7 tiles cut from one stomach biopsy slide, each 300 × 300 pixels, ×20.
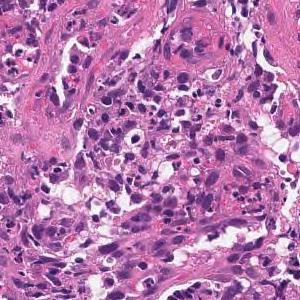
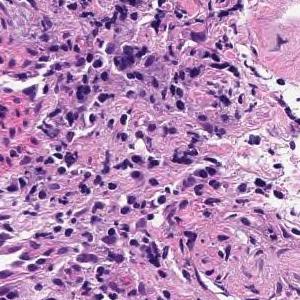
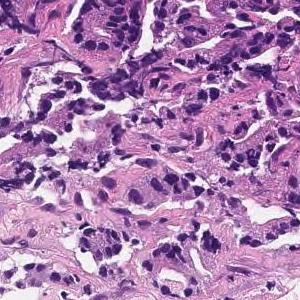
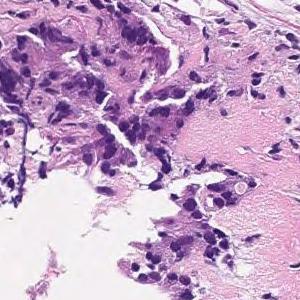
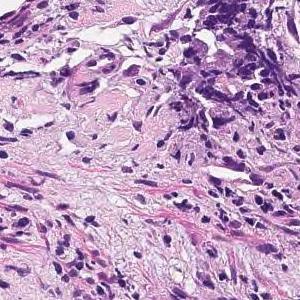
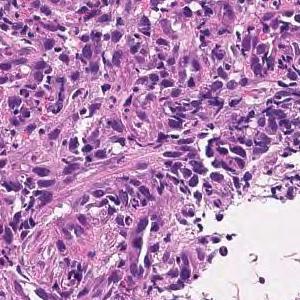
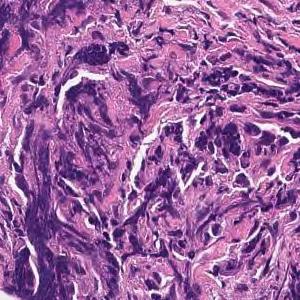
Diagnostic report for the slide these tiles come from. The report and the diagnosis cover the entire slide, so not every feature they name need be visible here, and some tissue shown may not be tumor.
Tumor tissue consisting of medium-sized, cord-like or irregular glandular infiltration is observed in the superficial epithelium. Poorly differentiated adenocarcinoma, non-solid type or moderately differentiated tubular adenocarcinoma
Histologic type: Moderately to poorly differentiated adenocarcinoma.
"Non-solid type" is a category of the Japanese Classification of Gastric Carcinoma.
